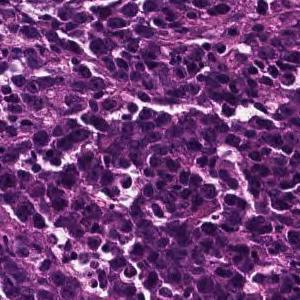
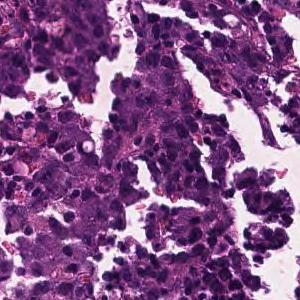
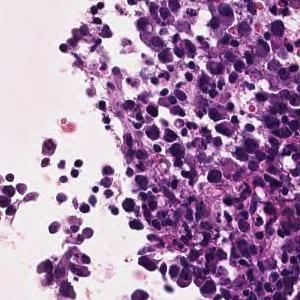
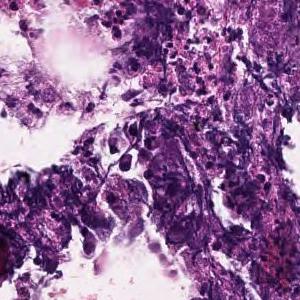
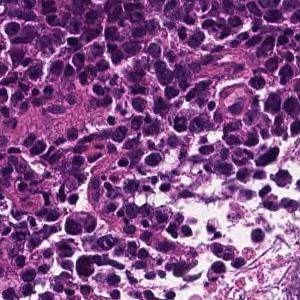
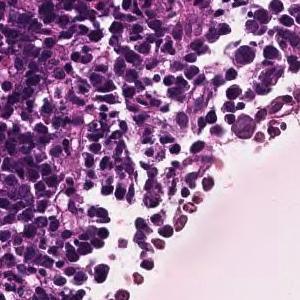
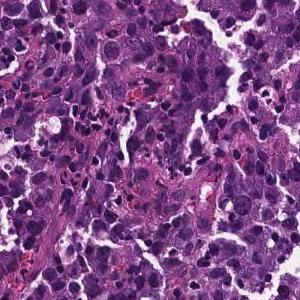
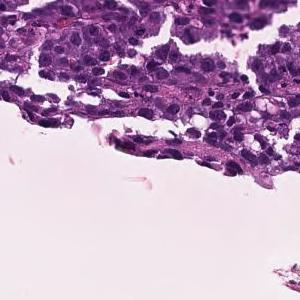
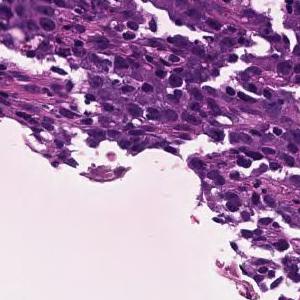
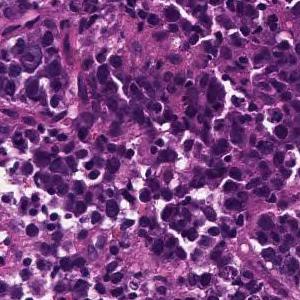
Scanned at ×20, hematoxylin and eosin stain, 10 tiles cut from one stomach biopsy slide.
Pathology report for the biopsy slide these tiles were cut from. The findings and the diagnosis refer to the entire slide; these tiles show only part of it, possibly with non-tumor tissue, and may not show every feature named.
The superficial epithelium shows a large sheet-like shape, and some tumor tissue infiltrates with small irregular ducts. Poorly differentiated adenocarcinoma, solid-type
Histologic type: Poorly differentiated adenocarcinoma, solid type, a category of the Japanese Classification of Gastric Carcinoma; in the WHO 2019 classification it is tubular adenocarcinoma, poorly differentiated.
